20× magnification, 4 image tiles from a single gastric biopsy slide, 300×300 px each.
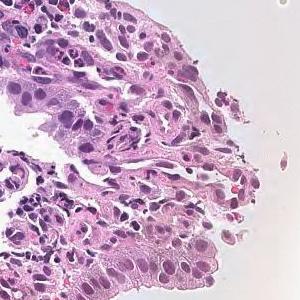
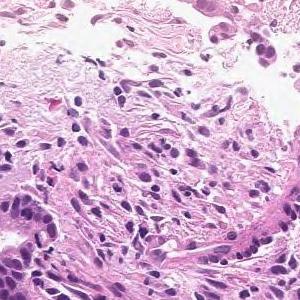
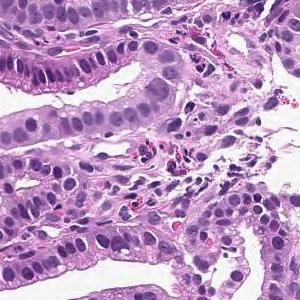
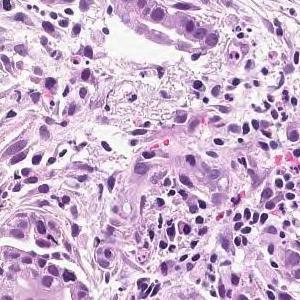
Pathology report for the slide these tiles were cut from. The report describes the whole slide, diagnosis included: not every finding it names need appear in these tiles, which may also show non-tumor tissue.
On the superficial epithelium, tumor tissue that infiltrates by forming medium-sized papillary or small irregular ducts is observed. Papillary adenocarcinoma
